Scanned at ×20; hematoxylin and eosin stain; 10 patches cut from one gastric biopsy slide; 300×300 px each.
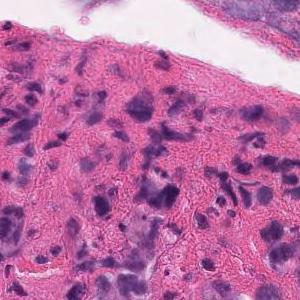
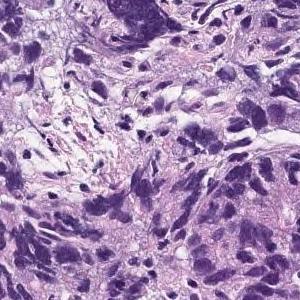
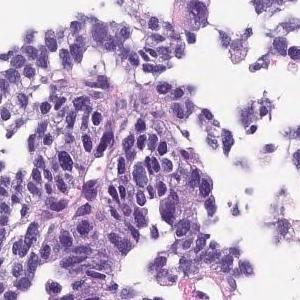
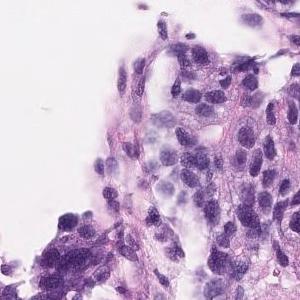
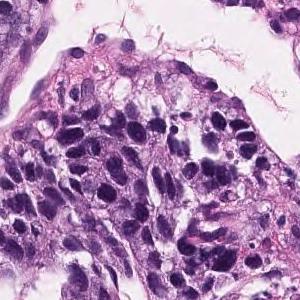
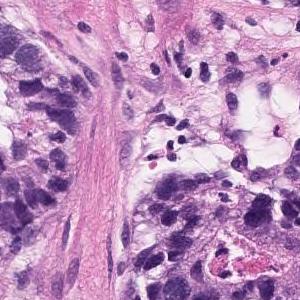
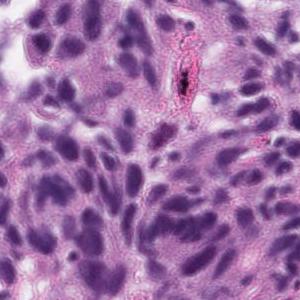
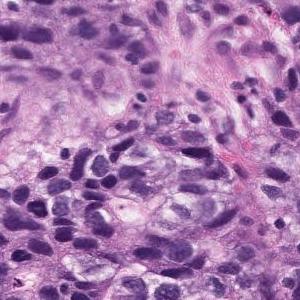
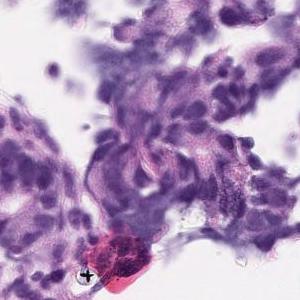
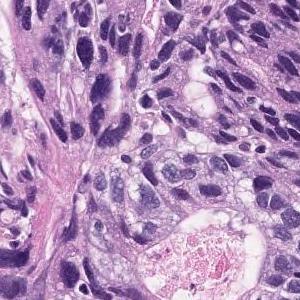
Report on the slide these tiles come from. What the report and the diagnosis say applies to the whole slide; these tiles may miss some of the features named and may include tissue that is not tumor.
Medium to small, irregular glandular ducts are formed in the superficial epithelium, and in some cases, the glandular ducts are fused to show solid alveolar lesions and infiltrating tumor tissue is observed. Moderately to poorly differentiated adenocarcinoma.
